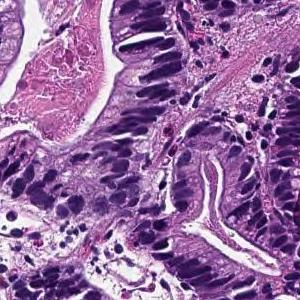
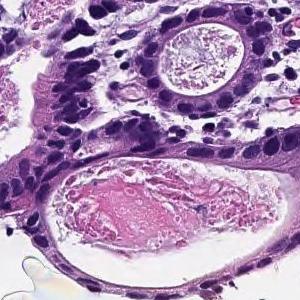
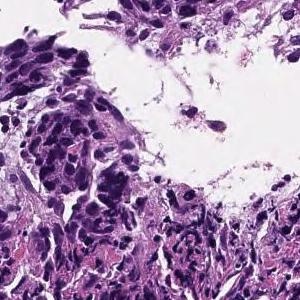
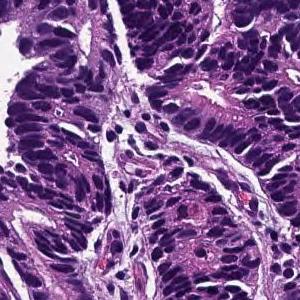
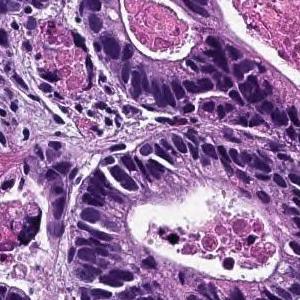
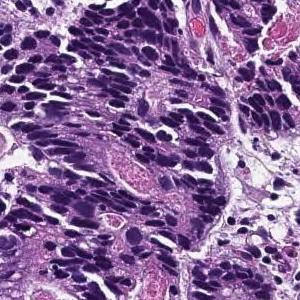
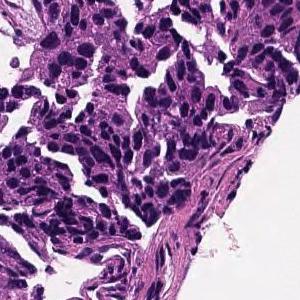
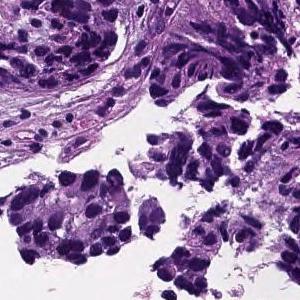
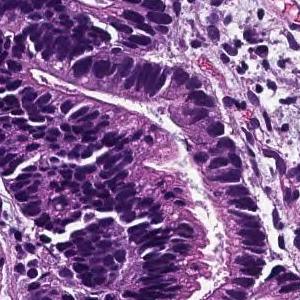
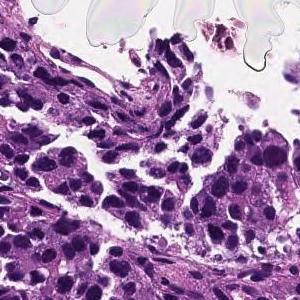
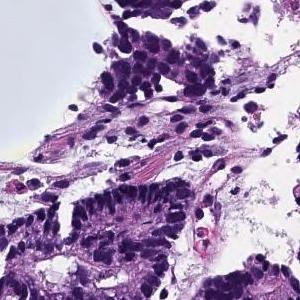
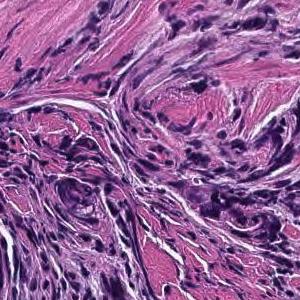
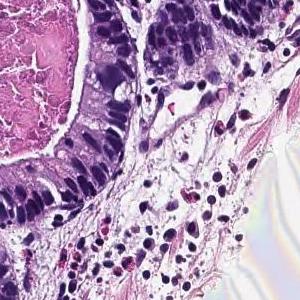
13 patches cut from one gastric biopsy slide; 300 × 300 pixels each; scanned at ×20; H&E.
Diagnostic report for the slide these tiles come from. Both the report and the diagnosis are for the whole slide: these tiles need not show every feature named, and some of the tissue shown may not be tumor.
From the superficial epithelium to the muscularis mucosae, tumor tissue consisting of medium-sized and irregular glandular ducts infiltrating is observed. Well differentiated tubular adenocarcinoma
